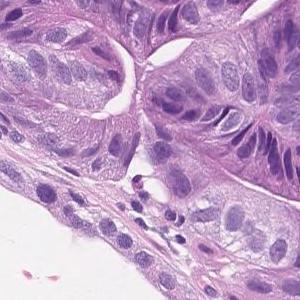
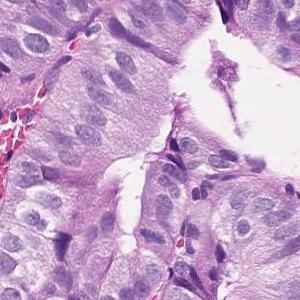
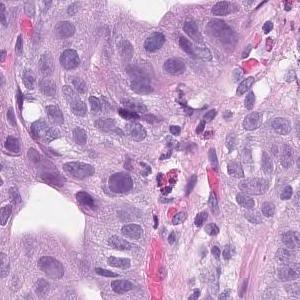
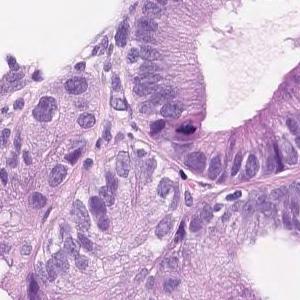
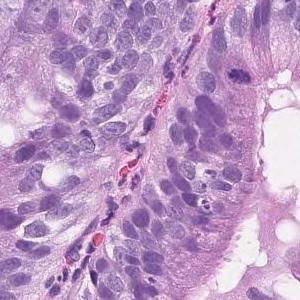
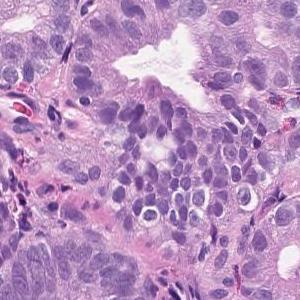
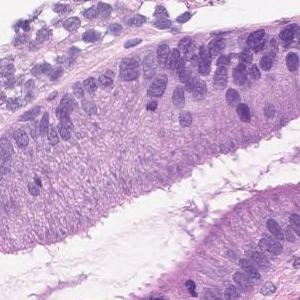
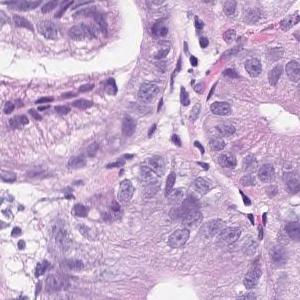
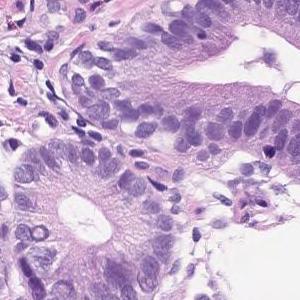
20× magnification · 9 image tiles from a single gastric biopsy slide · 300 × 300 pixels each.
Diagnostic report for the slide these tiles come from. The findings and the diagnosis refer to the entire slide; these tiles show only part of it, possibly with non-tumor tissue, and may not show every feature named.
Tumor tissue consisting of medium-sized and irregular ducts is observed infiltrating in the superficial epithelium. Tumor cells are highly columnar, with nuclei aligned basolaterally and polarized. Well differentiated tubular adenocarcinoma.
